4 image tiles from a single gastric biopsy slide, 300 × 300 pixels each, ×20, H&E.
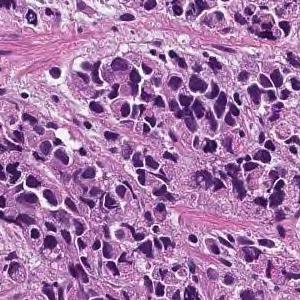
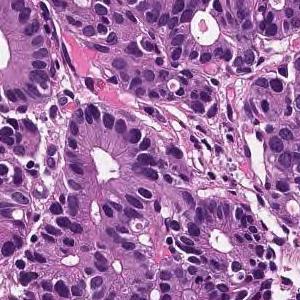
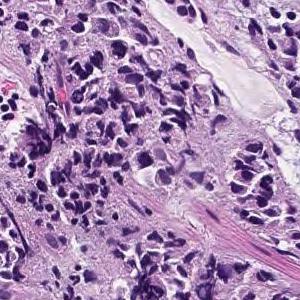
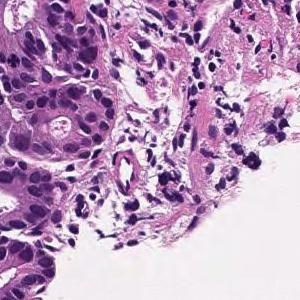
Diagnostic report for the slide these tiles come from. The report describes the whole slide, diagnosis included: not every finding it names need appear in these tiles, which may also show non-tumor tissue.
The lamina propria shows small cord-like tumor tissue that infiltrates with fibrosis and marked chronic inflammatory cell infiltration. Poorly differentiated adenocarcinoma, non-solid type
The term "non-solid type" comes from the Japanese Classification of Gastric Carcinoma.
